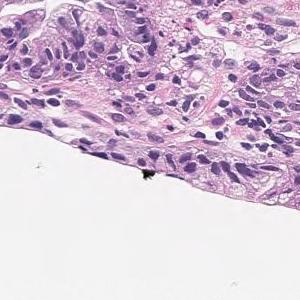
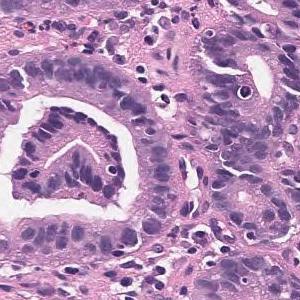
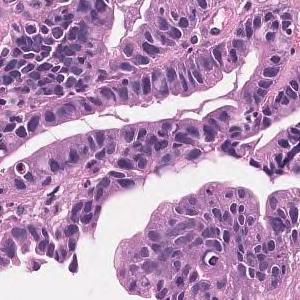
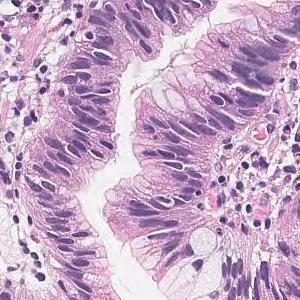
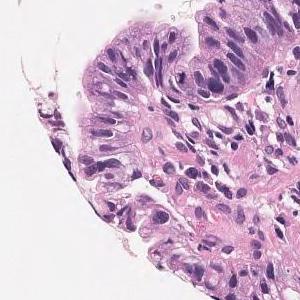
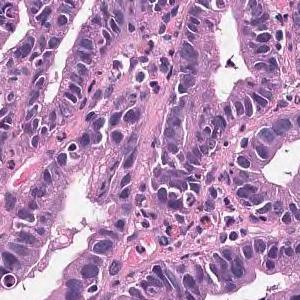
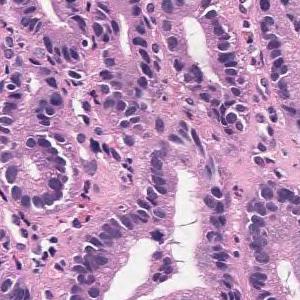
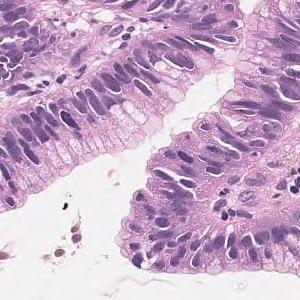
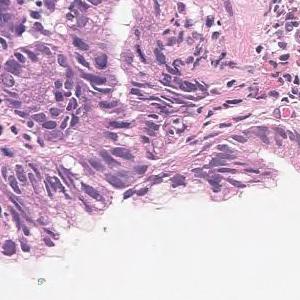
Scanned at ×20 · 9 tiles cut from one stomach biopsy slide · 300×300 px each.
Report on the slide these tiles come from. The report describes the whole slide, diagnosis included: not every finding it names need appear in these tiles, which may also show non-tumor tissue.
Tumor tissue that grows tubular from the surface to the glandular fossa is seen. Adenocarcinoma.
Histological subtype: Well differentiated tubular adenocarcinoma.
